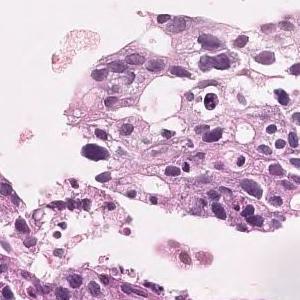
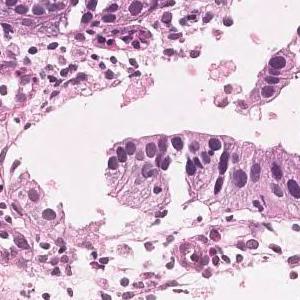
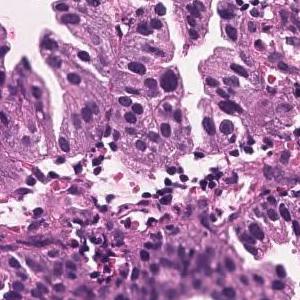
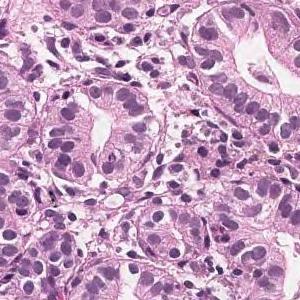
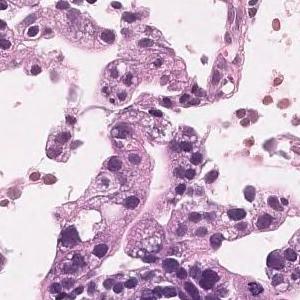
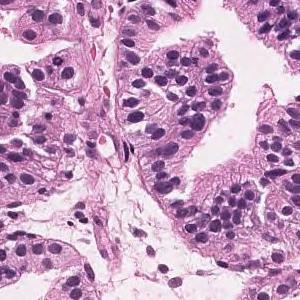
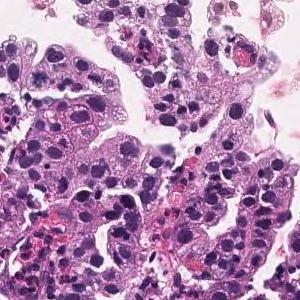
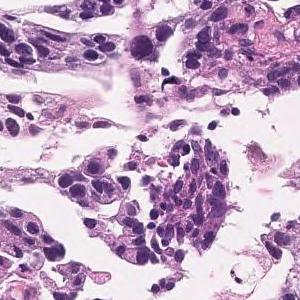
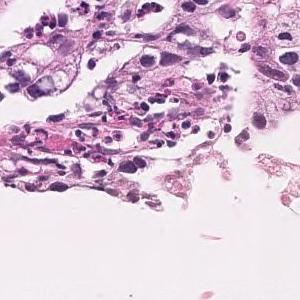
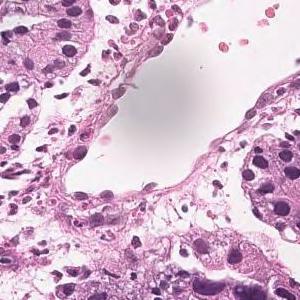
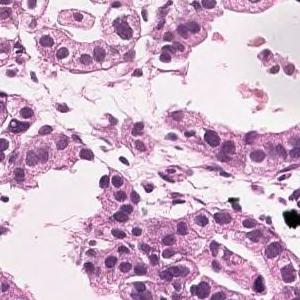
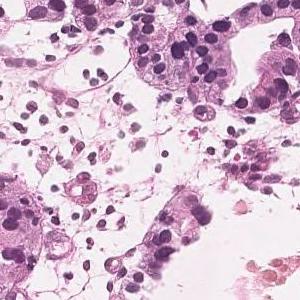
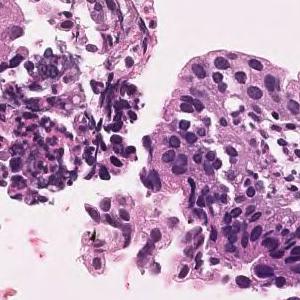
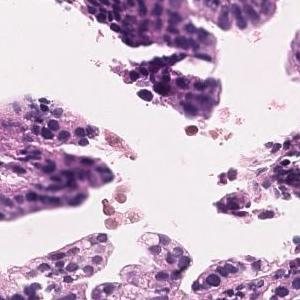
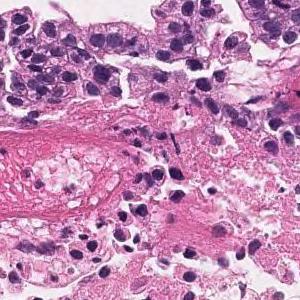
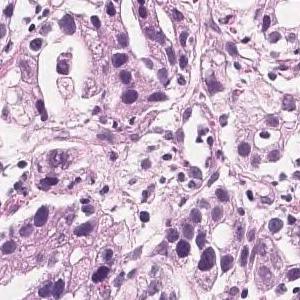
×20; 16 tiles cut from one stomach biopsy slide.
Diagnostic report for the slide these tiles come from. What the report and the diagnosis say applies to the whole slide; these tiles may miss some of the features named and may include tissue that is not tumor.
In the superficial epithelium, tumor tissue that invades by forming medium-sized to small, irregular ducts is observed. moderately differentiated tubular adenocarcinoma.
